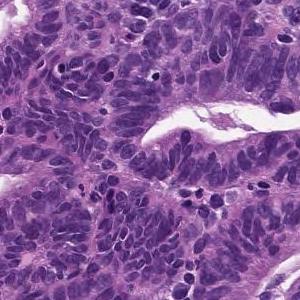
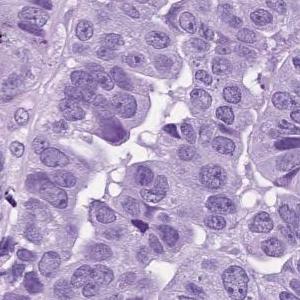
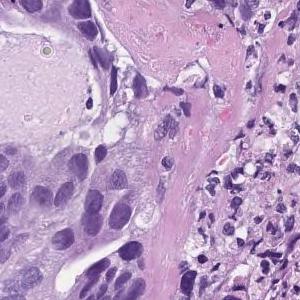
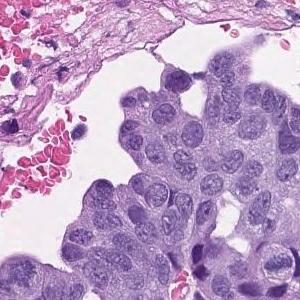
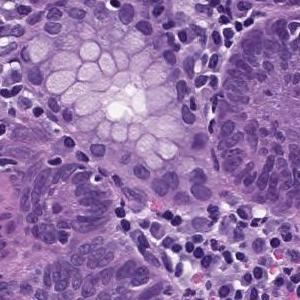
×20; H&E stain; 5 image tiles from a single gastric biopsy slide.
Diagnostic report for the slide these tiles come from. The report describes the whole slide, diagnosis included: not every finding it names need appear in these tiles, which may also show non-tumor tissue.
In the superficial epithelium, tumor tissue that invades by forming medium-sized to small, irregular ducts is observed. moderately differentiated tubular adenocarcinoma.
